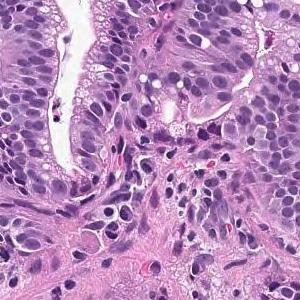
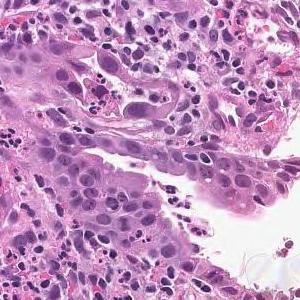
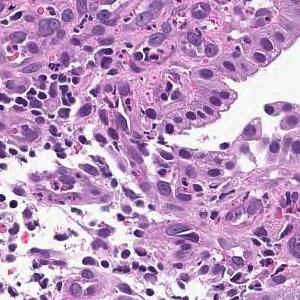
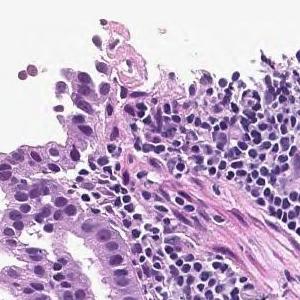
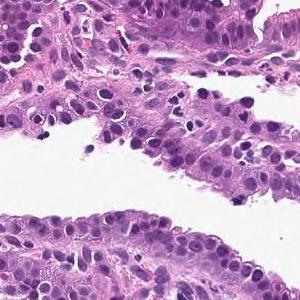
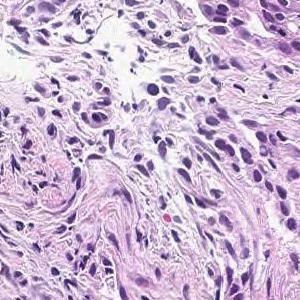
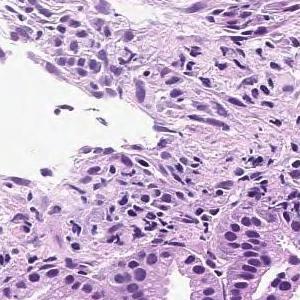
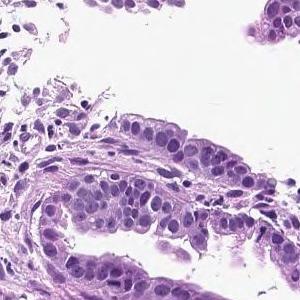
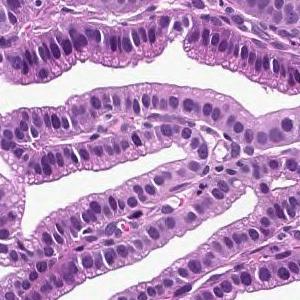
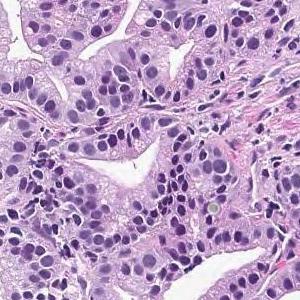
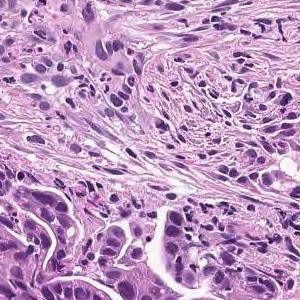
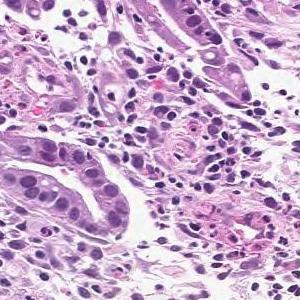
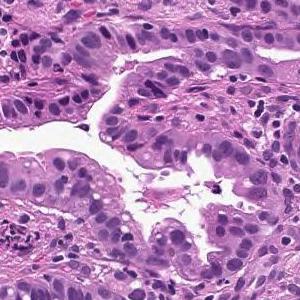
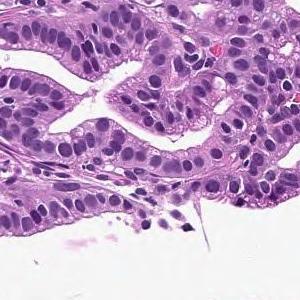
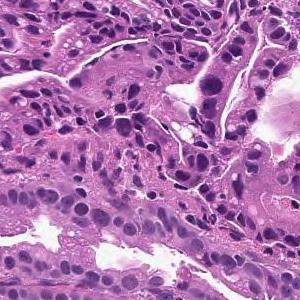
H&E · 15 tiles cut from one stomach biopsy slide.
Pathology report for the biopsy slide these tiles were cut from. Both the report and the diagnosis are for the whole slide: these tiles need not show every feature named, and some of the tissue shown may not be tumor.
On the superficial epithelium, tumor tissue that infiltrates by forming medium-sized papillary or small irregular ducts is observed. Papillary adenocarcinoma
